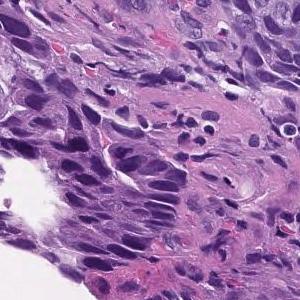
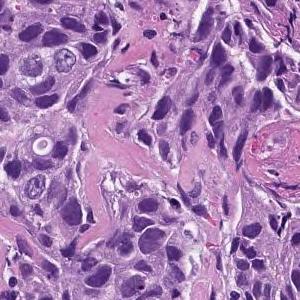
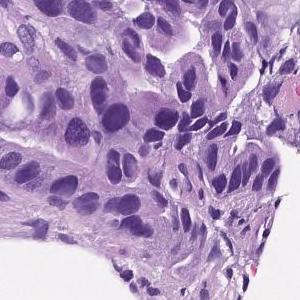
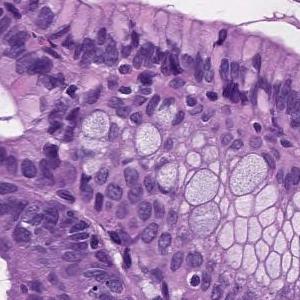
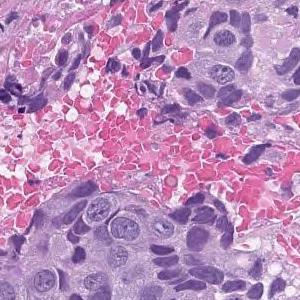
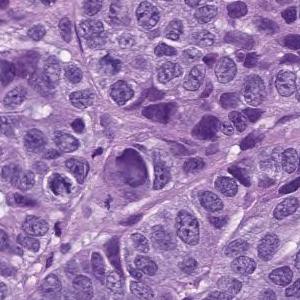
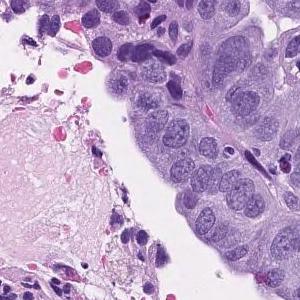
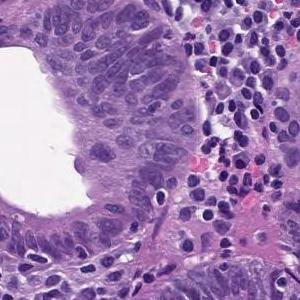
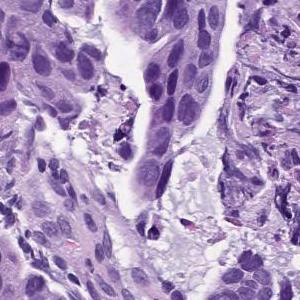
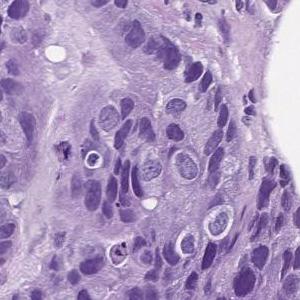
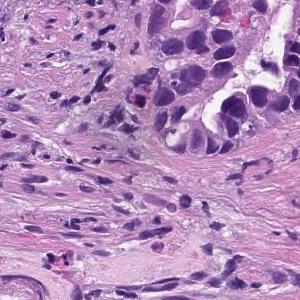
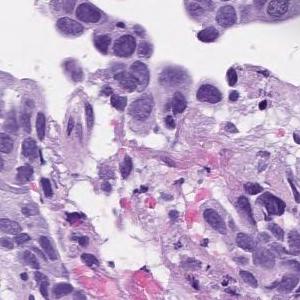
Hematoxylin and eosin stain, ×20, 12 tiles from the same stomach biopsy slide.
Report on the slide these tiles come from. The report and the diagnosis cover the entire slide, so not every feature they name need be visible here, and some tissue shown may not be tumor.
In the superficial epithelium, tumor tissue that invades by forming medium-sized to small, irregular ducts is observed. moderately differentiated tubular adenocarcinoma.
